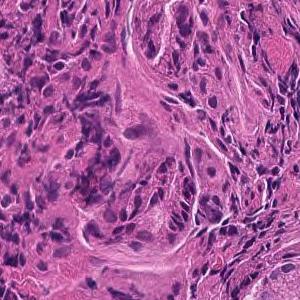
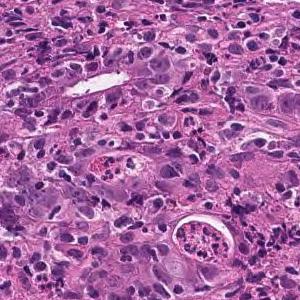
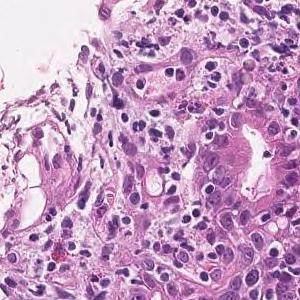
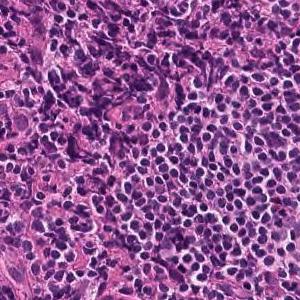
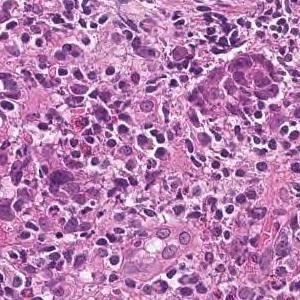
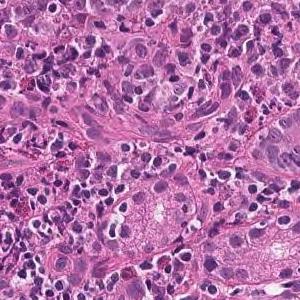
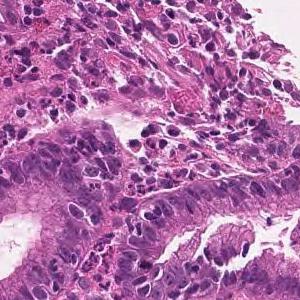
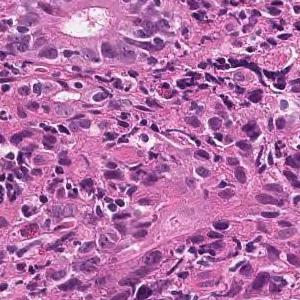
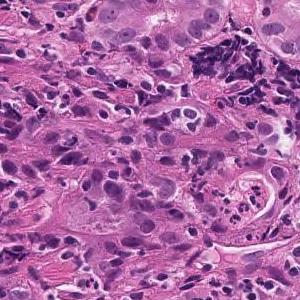
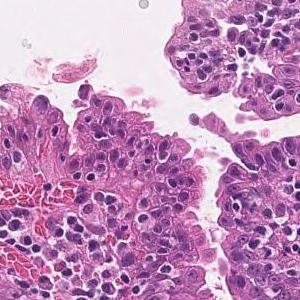
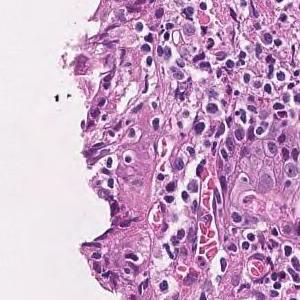
20× magnification; hematoxylin and eosin stain; 11 tiles from the same stomach biopsy slide.
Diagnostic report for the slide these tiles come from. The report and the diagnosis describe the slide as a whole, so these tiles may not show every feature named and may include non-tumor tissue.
Tumor tissue consisting of medium-sized, cord-like or irregular glandular infiltration is observed in the superficial epithelium. Poorly differentiated adenocarcinoma, non-solid type or moderately differentiated tubular adenocarcinoma
Labeled in the dataset as poorly differentiated adenocarcinoma, non-solid type.
"Non-solid type" is a category of the Japanese Classification of Gastric Carcinoma.
